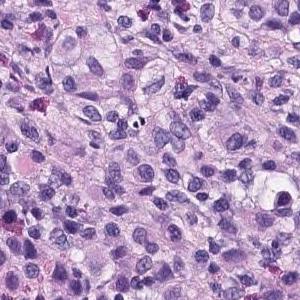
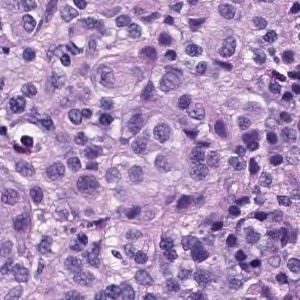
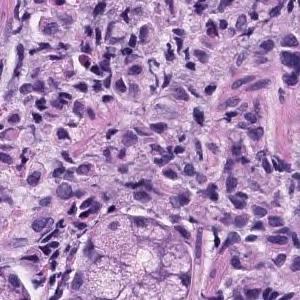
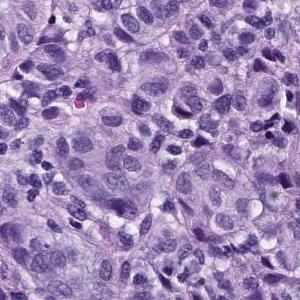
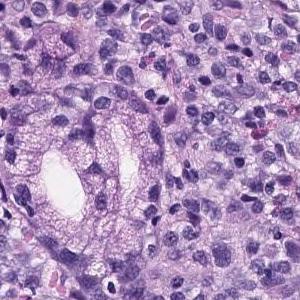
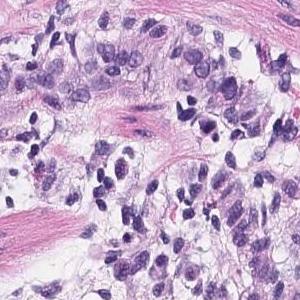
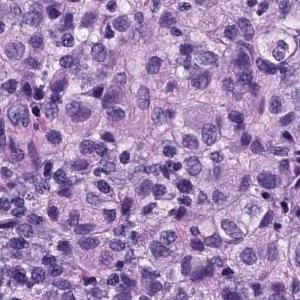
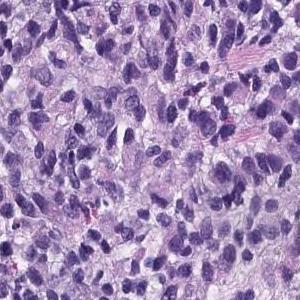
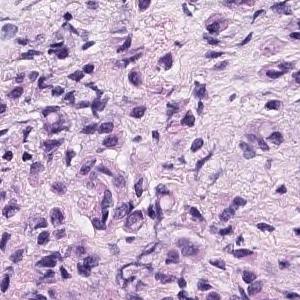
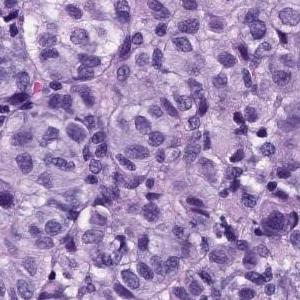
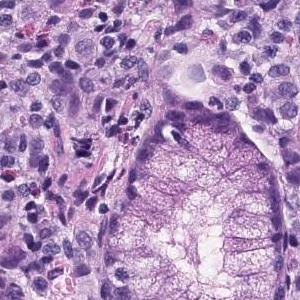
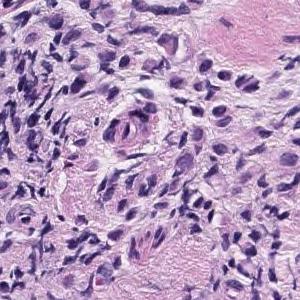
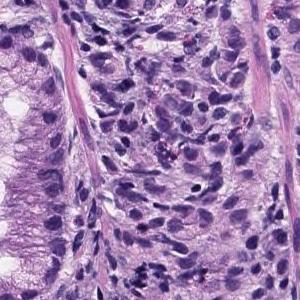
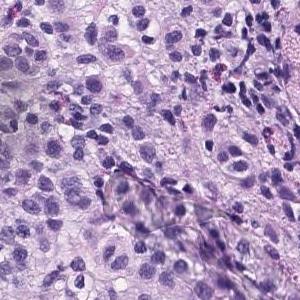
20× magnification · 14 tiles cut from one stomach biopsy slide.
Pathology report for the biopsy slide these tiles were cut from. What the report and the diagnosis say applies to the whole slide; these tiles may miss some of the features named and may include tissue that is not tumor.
There are medium-sized atypical cells with marked nuclear swelling and increased N/C ratio, which grow into solid or isolated scattered cells. Poorly differentiated adenocarcinoma
Classified as poorly differentiated adenocarcinoma, solid type. This name comes from the Japanese Classification of Gastric Carcinoma; the WHO 2019 classification calls it tubular adenocarcinoma, poorly differentiated.
